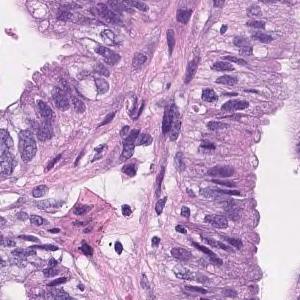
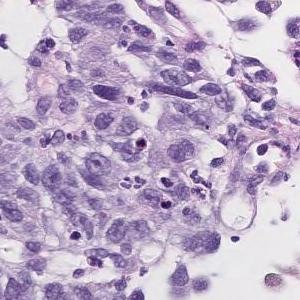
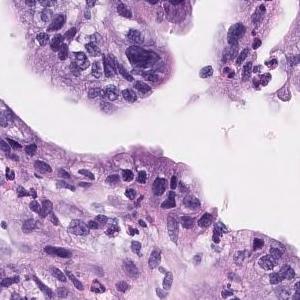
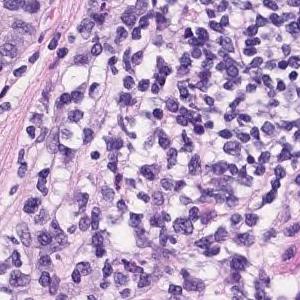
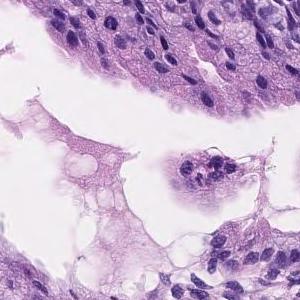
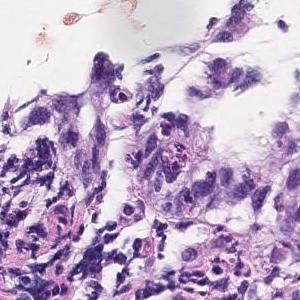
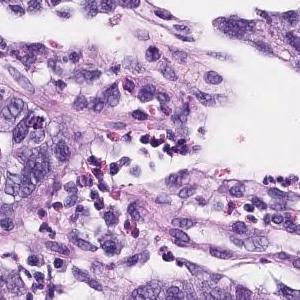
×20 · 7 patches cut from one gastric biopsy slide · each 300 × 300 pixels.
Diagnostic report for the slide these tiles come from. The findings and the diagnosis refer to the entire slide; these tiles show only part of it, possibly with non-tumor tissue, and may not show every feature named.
Tumor cells are large, highly columnar, large club-shaped nuclei, and are associated with chromatin aggregation. Papillary adenocarcinoma.
